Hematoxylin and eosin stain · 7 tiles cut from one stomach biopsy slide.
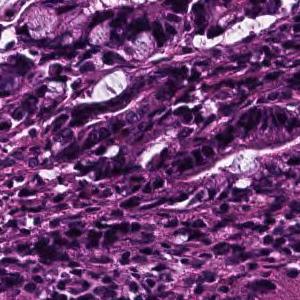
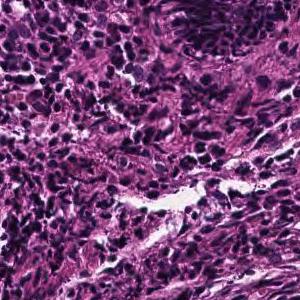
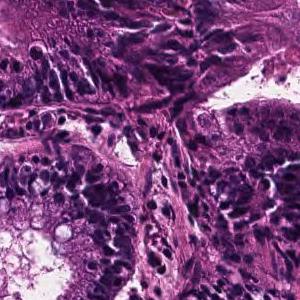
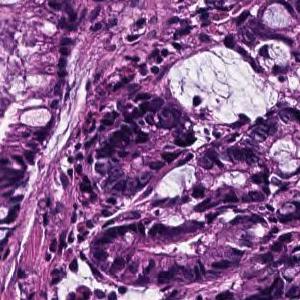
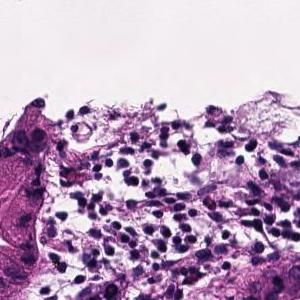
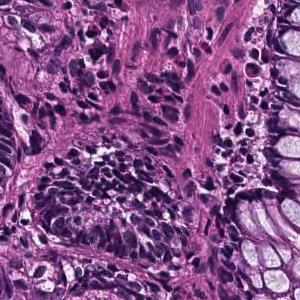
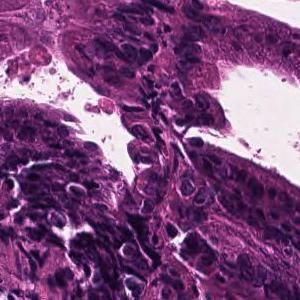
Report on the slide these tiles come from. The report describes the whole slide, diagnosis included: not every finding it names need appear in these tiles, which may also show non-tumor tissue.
In the superficial epithelium, tumor tissue that invades by forming medium-sized to small, irregular ducts is observed. Well differentiated tubular adenocarcinoma.
